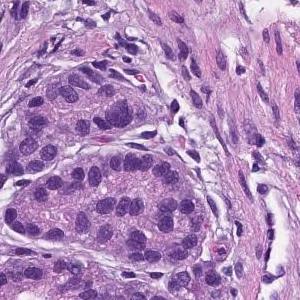
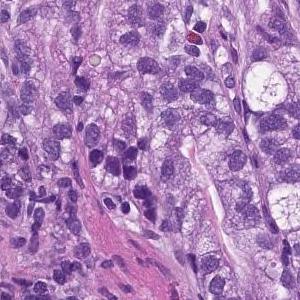
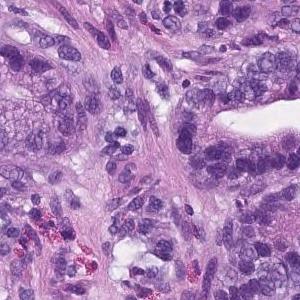
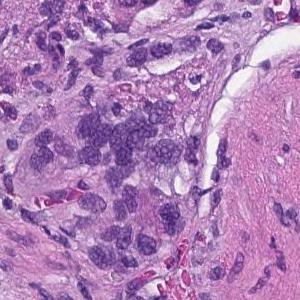
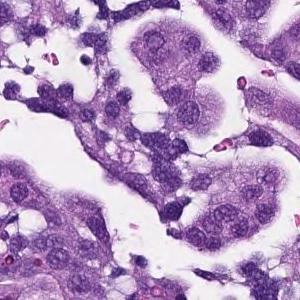
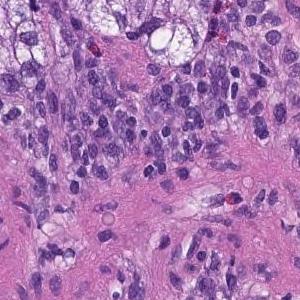
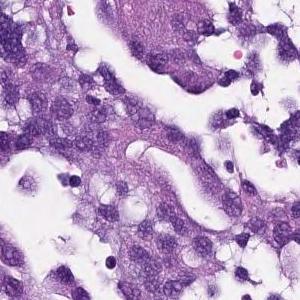
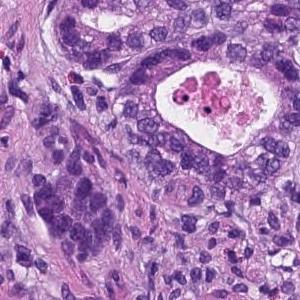
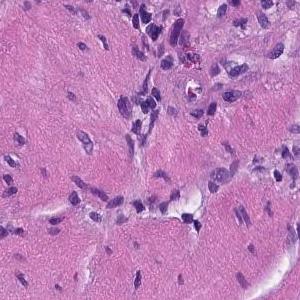
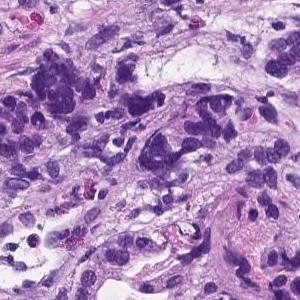
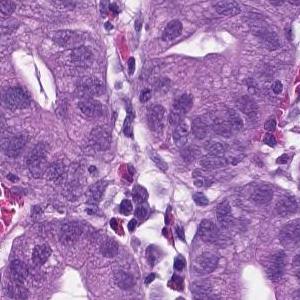
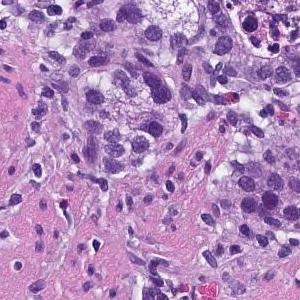
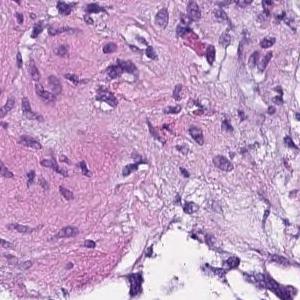
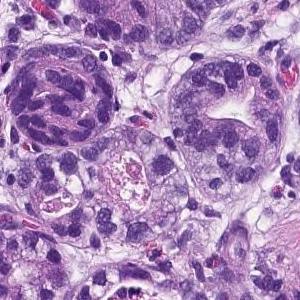
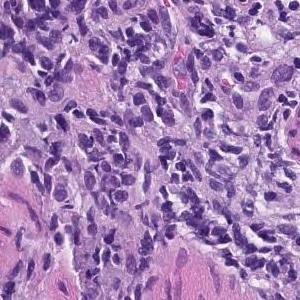
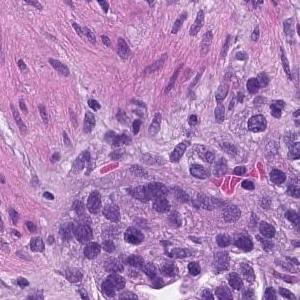
Hematoxylin and eosin stain · 16 tiles from the same stomach biopsy slide.
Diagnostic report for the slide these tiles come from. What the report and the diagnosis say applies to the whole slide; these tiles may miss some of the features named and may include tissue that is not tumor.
From the superficial epithelium to the muscularis mucosae, tumor tissue consisting of medium-sized and irregular glandular ducts infiltrating is observed. Well differentiated tubular adenocarcinoma
